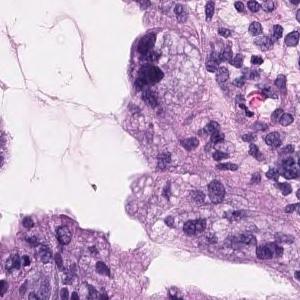
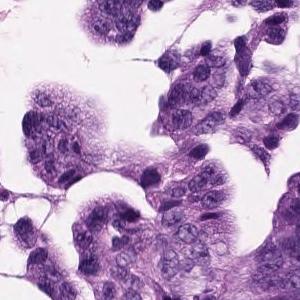
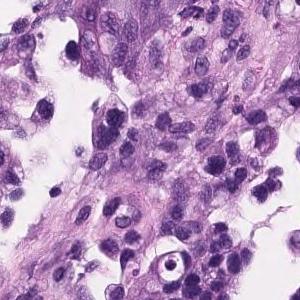
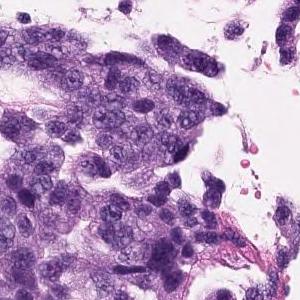
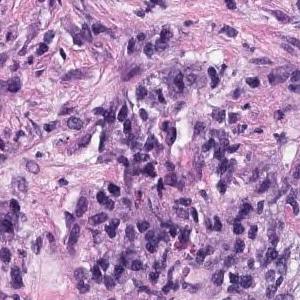
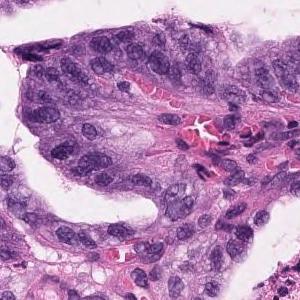
6 tiles cut from one stomach biopsy slide, each 300 × 300 pixels, hematoxylin and eosin stain, 20× magnification.
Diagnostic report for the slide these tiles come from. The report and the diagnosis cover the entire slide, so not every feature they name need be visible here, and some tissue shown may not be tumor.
Tumor cells are large, highly columnar, large club-shaped nuclei, and are associated with chromatin aggregation. Papillary adenocarcinoma.
